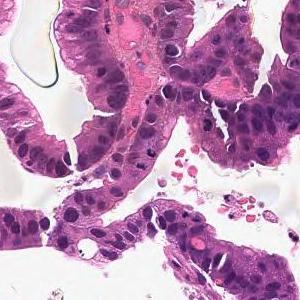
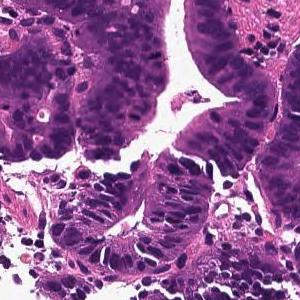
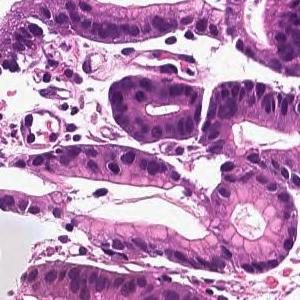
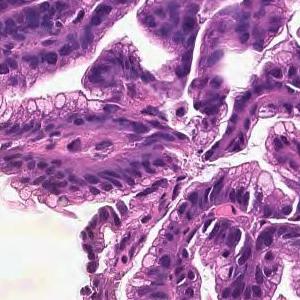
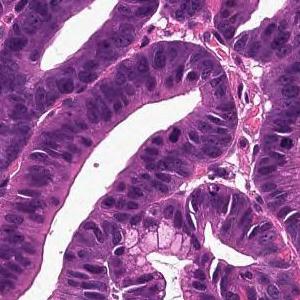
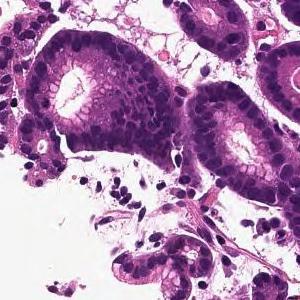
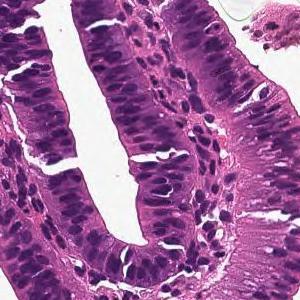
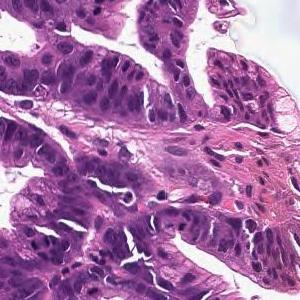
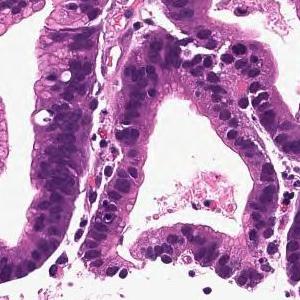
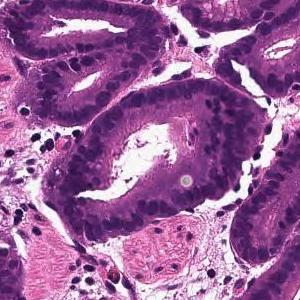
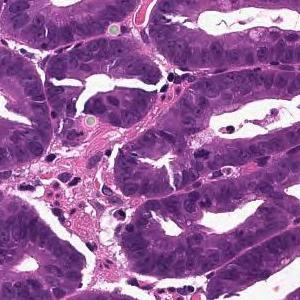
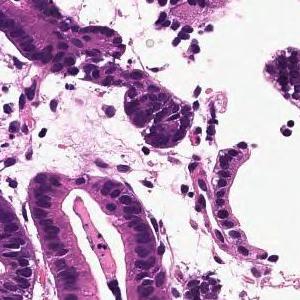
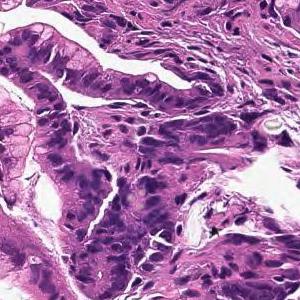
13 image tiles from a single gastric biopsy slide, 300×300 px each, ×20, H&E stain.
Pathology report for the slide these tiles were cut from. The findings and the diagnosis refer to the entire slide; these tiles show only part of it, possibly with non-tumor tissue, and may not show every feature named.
From the superficial epithelium to the muscularis mucosae, tumor tissue consisting of medium-sized and irregular glandular ducts infiltrating is observed. Well differentiated tubular adenocarcinoma
